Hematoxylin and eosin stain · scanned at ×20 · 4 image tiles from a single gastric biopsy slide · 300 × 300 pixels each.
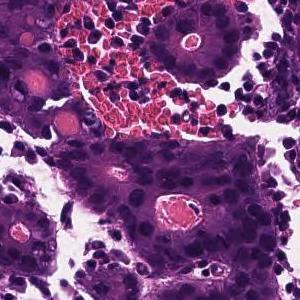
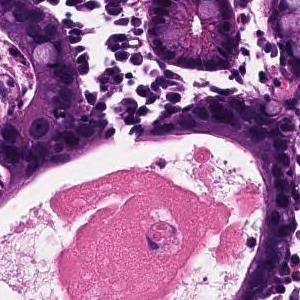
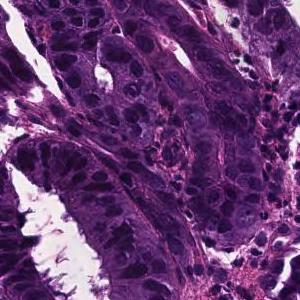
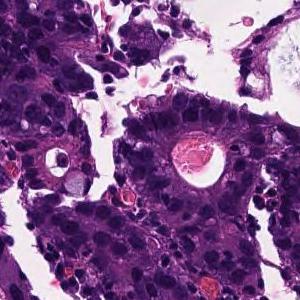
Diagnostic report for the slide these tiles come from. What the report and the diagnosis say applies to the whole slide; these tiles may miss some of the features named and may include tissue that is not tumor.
From the superficial epithelium to the muscularis mucosae, tumor tissue infiltrating by forming medium-sized irregular gland ducts is observed. Large tumor cells exhibit large nucleus and hyperchromatism. Well differentiated tubular adenocarcinoma
